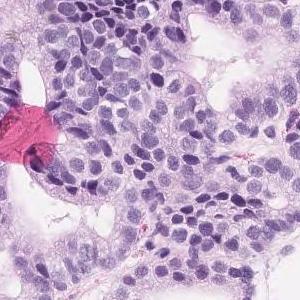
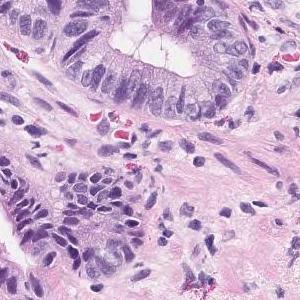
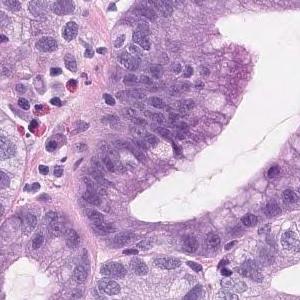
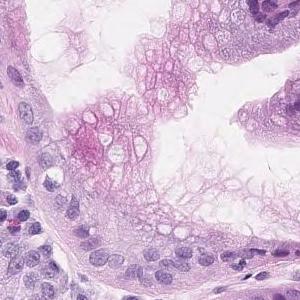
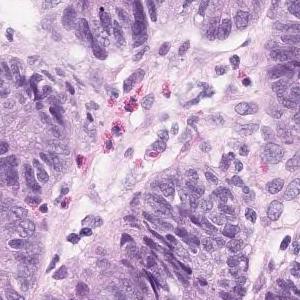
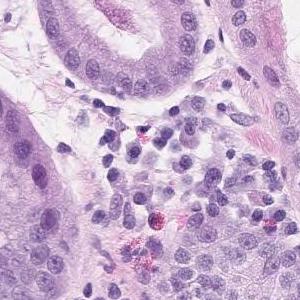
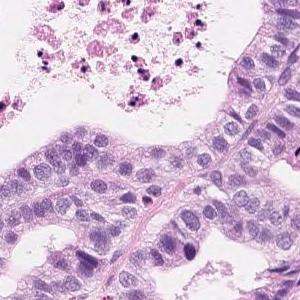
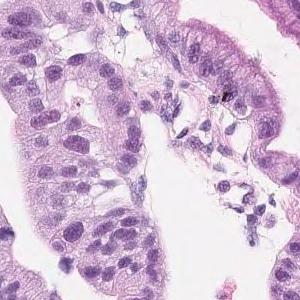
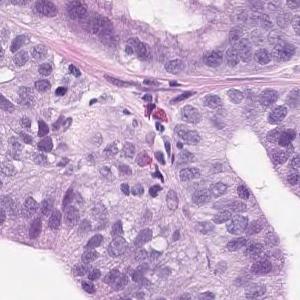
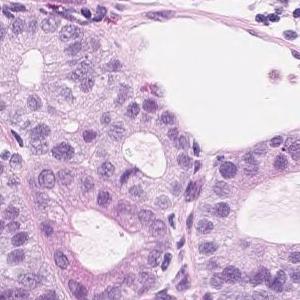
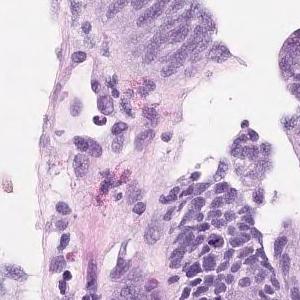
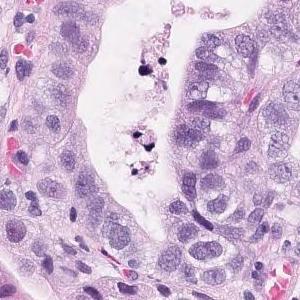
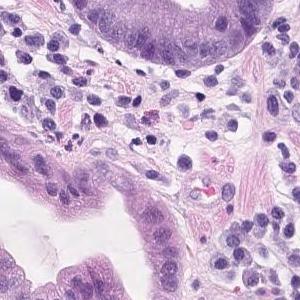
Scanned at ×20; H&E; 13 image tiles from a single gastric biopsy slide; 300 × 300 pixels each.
The pathologist's report on the biopsy slide these tiles were taken from. Both the report and the diagnosis are for the whole slide: these tiles need not show every feature named, and some of the tissue shown may not be tumor.
Short atypical epithelium with swelling of the nucleus shows proliferating, large and small irregular ductal structures. Well to moderately differentiated tubular adenocarcinoma (well differentiated tubular adenocarcinoma-moderately differentiated tubular adenocarcinoma)
Classified as well to moderately differentiated tubular adenocarcinoma.
